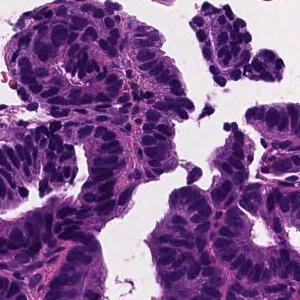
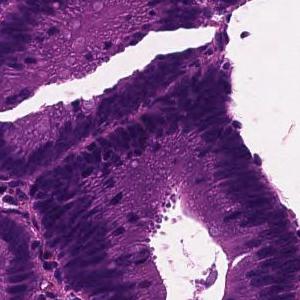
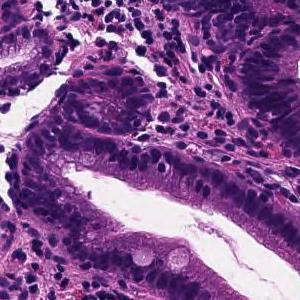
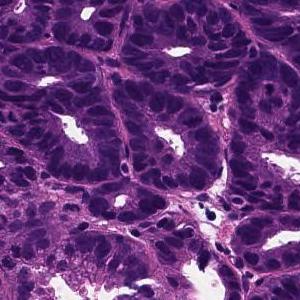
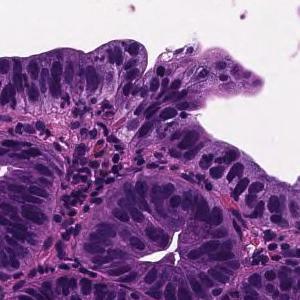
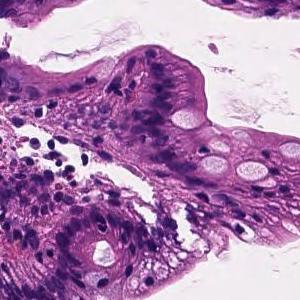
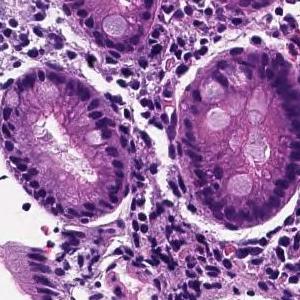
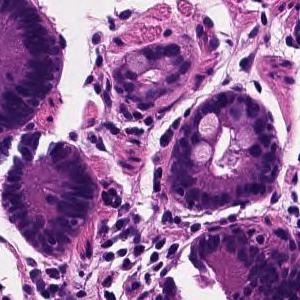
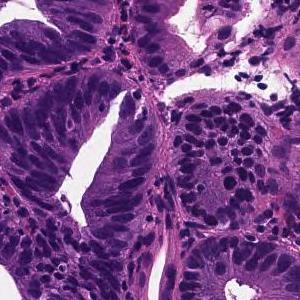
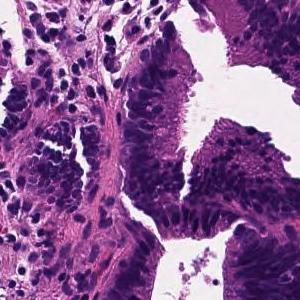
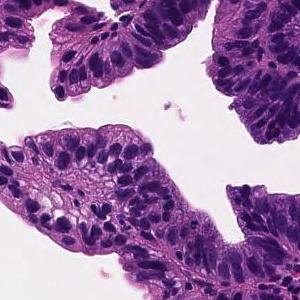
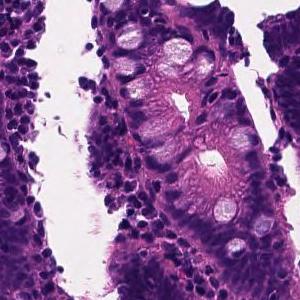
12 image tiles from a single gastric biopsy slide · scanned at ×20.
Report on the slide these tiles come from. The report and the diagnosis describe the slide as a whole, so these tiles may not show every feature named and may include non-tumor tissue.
Tumor tissue in which medium to small irregular ducts infiltrate and proliferate in the submucosa can be seen in the epithelium. Well differentiated tubular adenocarcinoma
